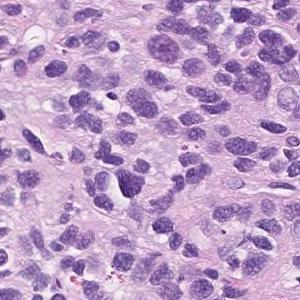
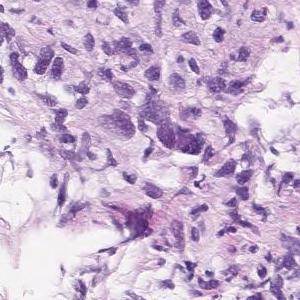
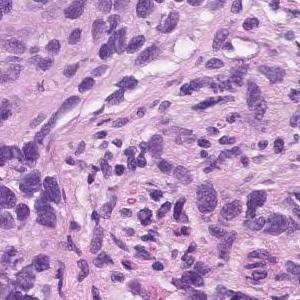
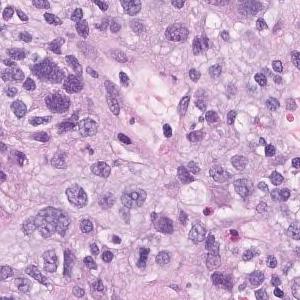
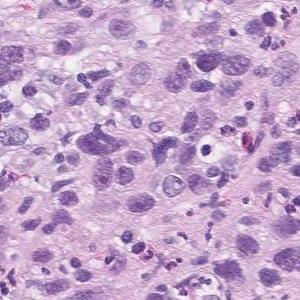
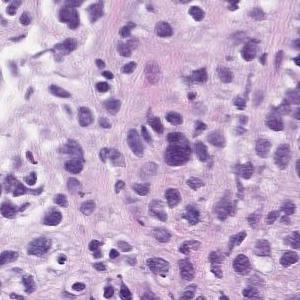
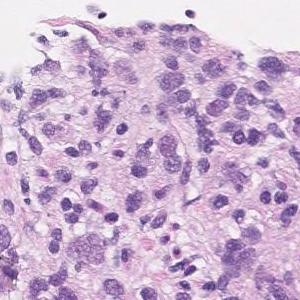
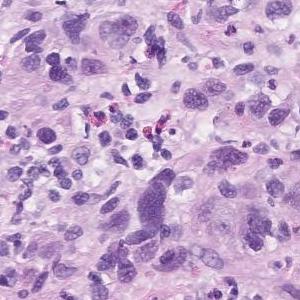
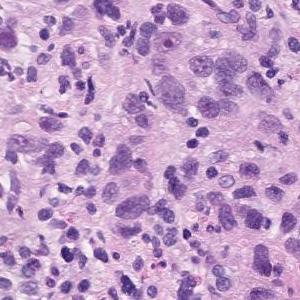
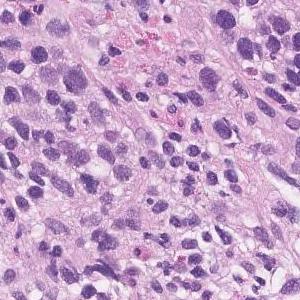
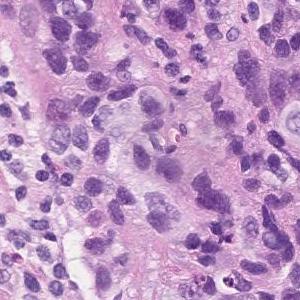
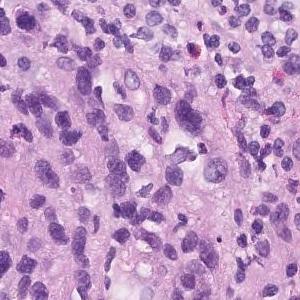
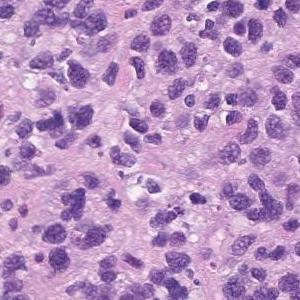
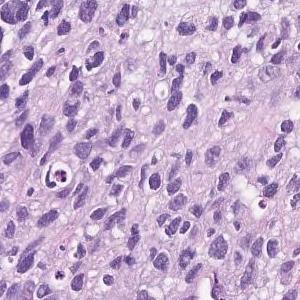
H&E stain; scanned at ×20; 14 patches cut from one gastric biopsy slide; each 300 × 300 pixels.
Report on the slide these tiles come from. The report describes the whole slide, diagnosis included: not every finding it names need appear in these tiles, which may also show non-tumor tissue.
Atypical l cells with atypical nuclei under the mucosa growing in isolation and scattered. Poorly differentiated adenocarcinoma (poorly differentiated adenocarcinoma, non-solid type)
Histological subtype: Poorly differentiated adenocarcinoma, non-solid type.
The non-solid type named here is a Japanese Classification of Gastric Carcinoma category.
